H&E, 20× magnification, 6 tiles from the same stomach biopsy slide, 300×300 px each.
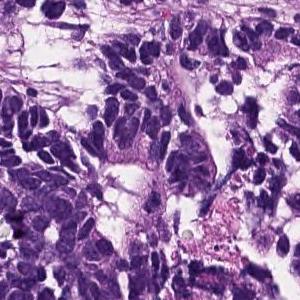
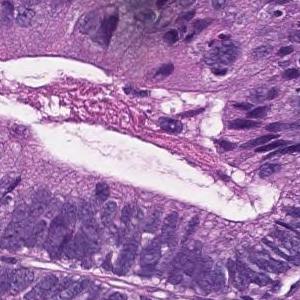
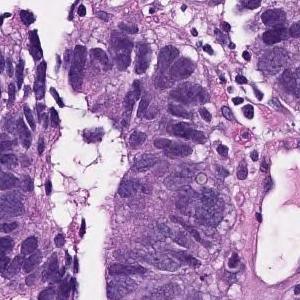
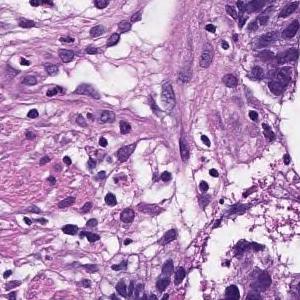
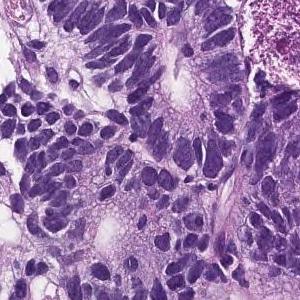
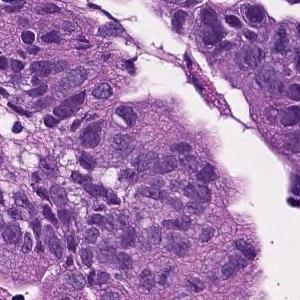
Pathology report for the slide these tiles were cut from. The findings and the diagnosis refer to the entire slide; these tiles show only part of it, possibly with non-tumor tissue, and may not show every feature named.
In the superficial epithelium, tumor tissue that invades by forming medium-sized to small, irregular ducts is observed. moderately differentiated tubular adenocarcinoma.
